H&E, ×20, 16 tiles cut from one stomach biopsy slide.
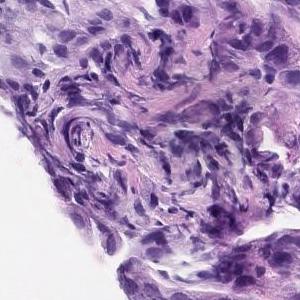
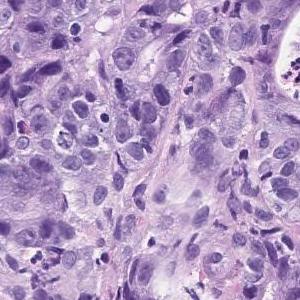
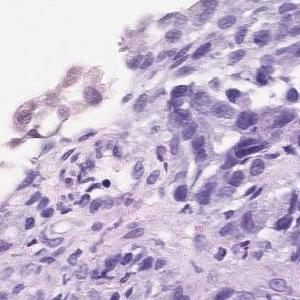
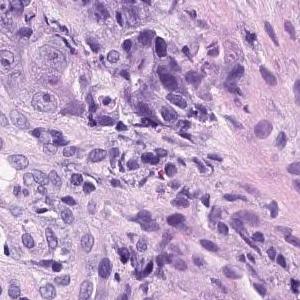
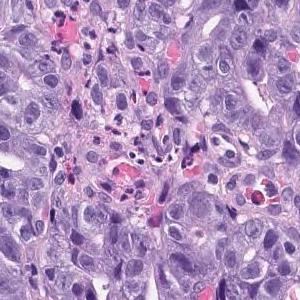
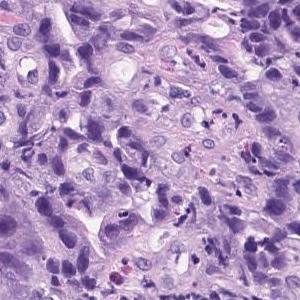
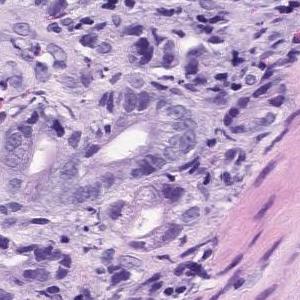
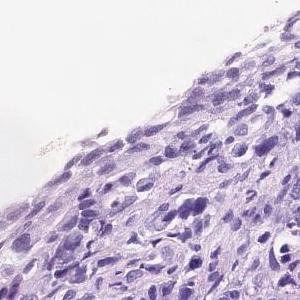
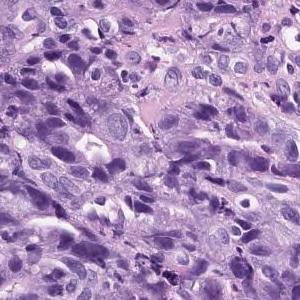
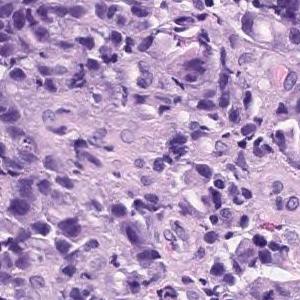
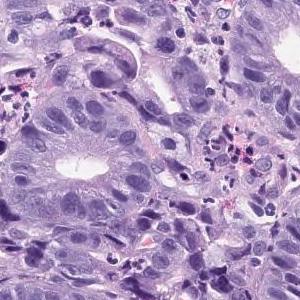
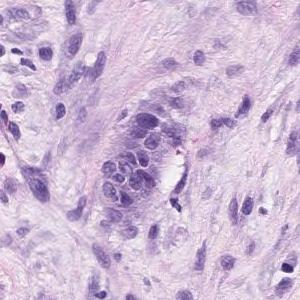
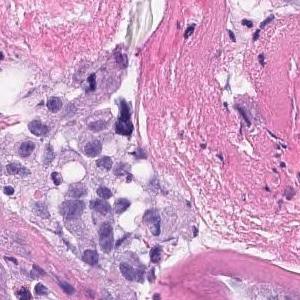
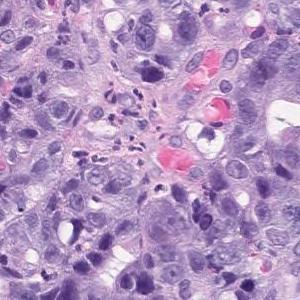
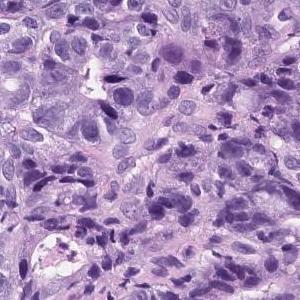
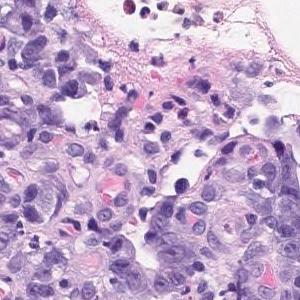
The pathologist's report on the biopsy slide these tiles were taken from. The report and the diagnosis describe the slide as a whole, so these tiles may not show every feature named and may include non-tumor tissue.
In the superficial epithelium, tumor tissue that invades by forming medium-sized to small, irregular ducts is observed. Moderately differentiated adenocarcinoma.
Histologic type: Moderately differentiated tubular adenocarcinoma.
